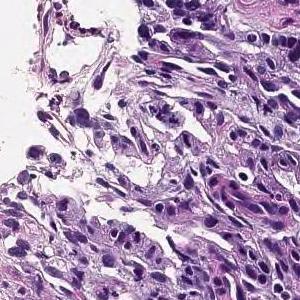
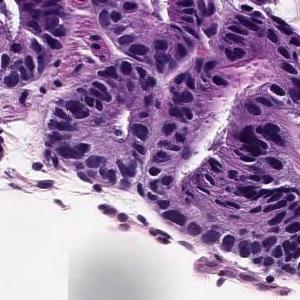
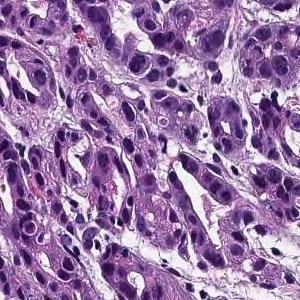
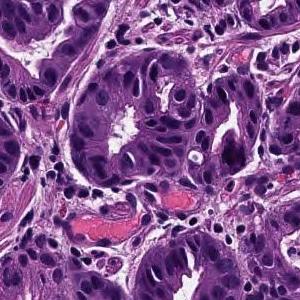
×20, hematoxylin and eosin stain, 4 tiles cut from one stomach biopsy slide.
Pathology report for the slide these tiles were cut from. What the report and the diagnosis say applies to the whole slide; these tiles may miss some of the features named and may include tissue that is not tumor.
From the superficial epithelium to the muscularis mucosae, tumor tissue consisting of medium-sized and irregular glandular ducts infiltrating is observed. Well differentiated tubular adenocarcinoma
